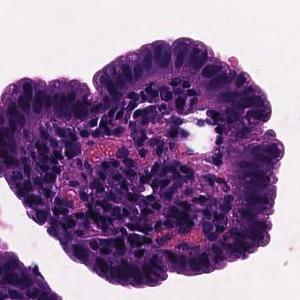
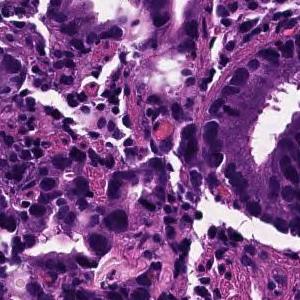
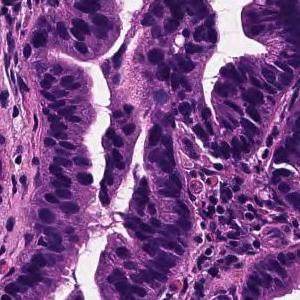
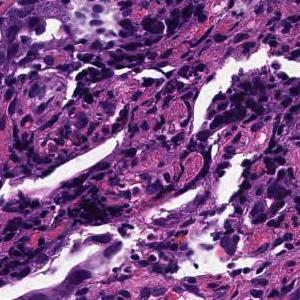
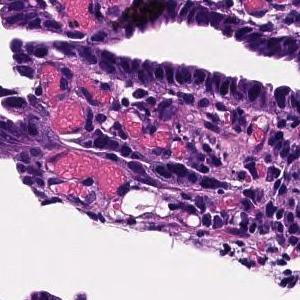
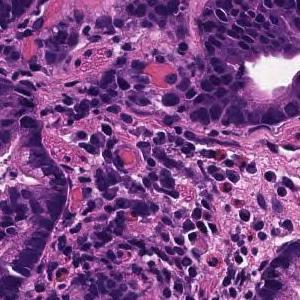
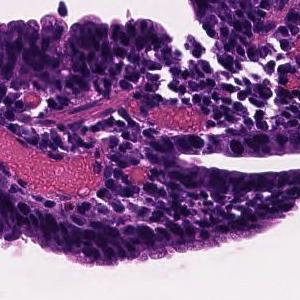
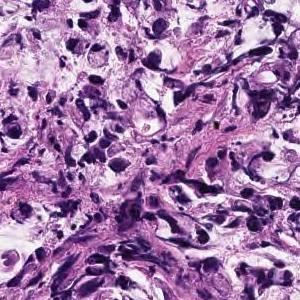
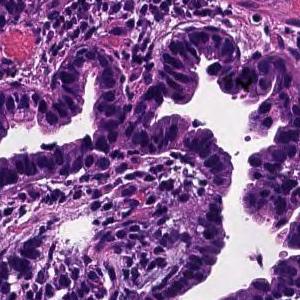
9 image tiles from a single gastric biopsy slide; ×20.
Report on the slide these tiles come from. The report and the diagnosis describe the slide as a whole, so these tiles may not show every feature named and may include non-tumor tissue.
On the superficial epithelium, tumor tissue that infiltrates by forming medium-sized papillary or small irregular ducts is observed. Papillary adenocarcinoma
